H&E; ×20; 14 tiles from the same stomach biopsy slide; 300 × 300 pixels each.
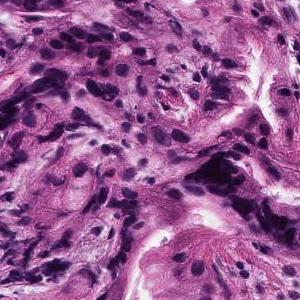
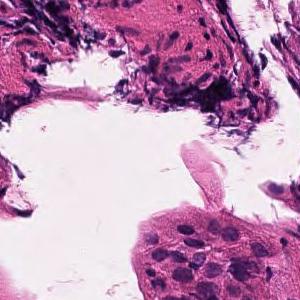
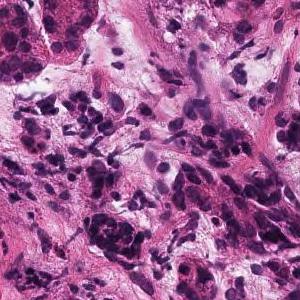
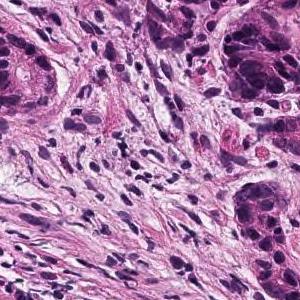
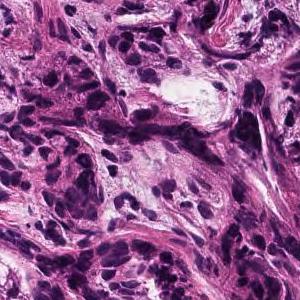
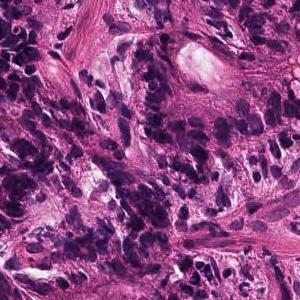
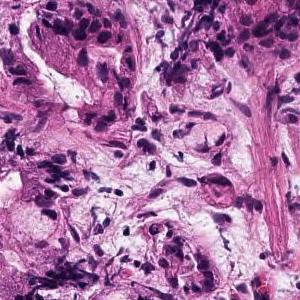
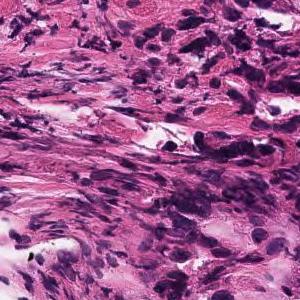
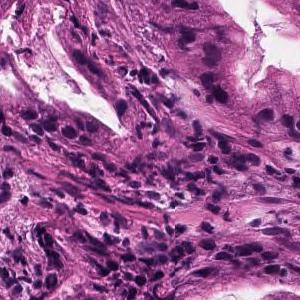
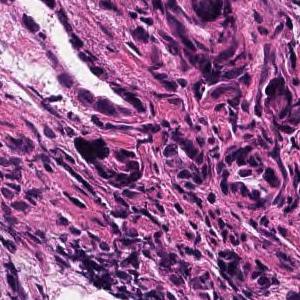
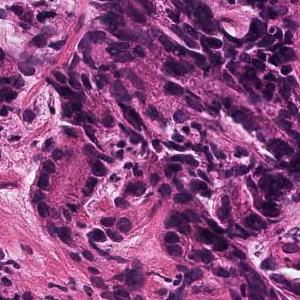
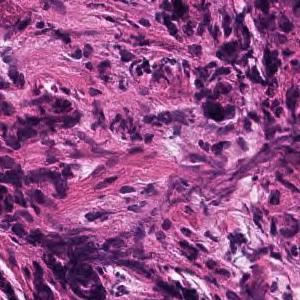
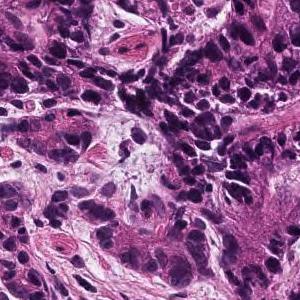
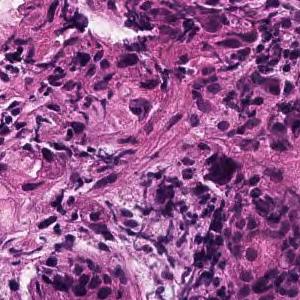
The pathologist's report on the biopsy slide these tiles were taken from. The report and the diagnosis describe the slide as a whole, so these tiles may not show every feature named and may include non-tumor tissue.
Proliferation of small, irregular tubular glandular ducts with fusion is seen just above the muscularis mucosae in the lamina propria. moderately differentiated tubular adenocarcinoma
